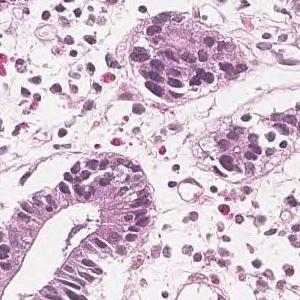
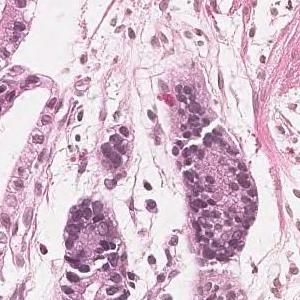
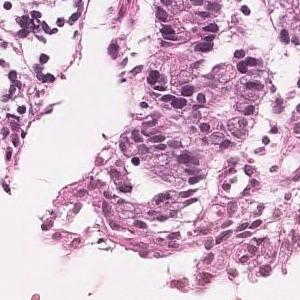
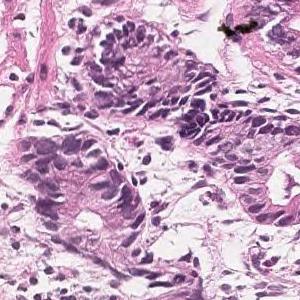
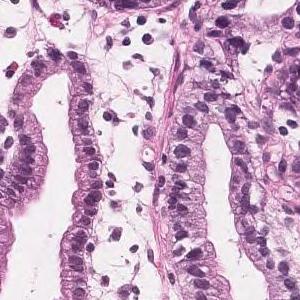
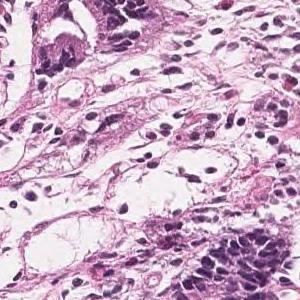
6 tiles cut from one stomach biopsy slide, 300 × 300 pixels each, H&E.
Pathology report for the biopsy slide these tiles were cut from. The report and the diagnosis describe the slide as a whole, so these tiles may not show every feature named and may include non-tumor tissue.
Most of the tumor remains in the epithelium and shows a medium-sized circular system or irregular ducts, showing proliferating and developing tumor tissue. Well differentiated tubular adenocarcinoma
